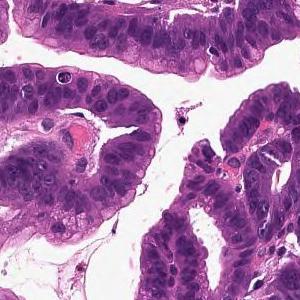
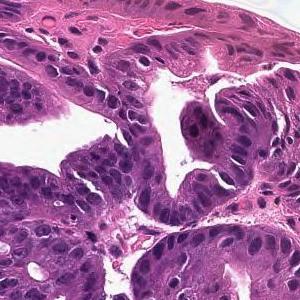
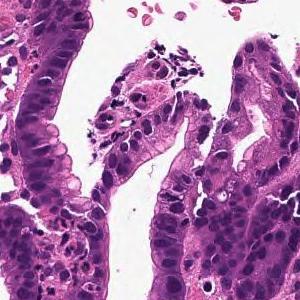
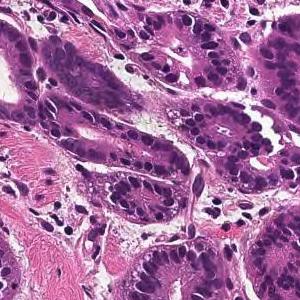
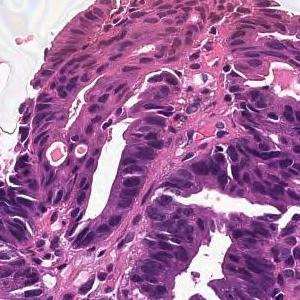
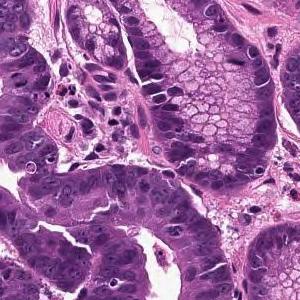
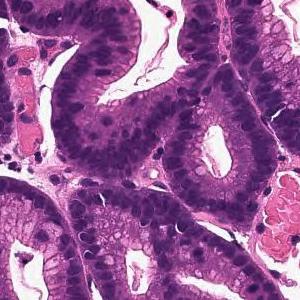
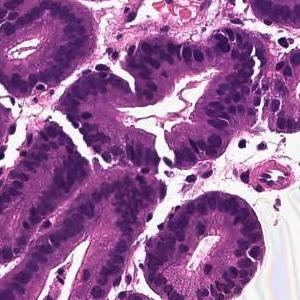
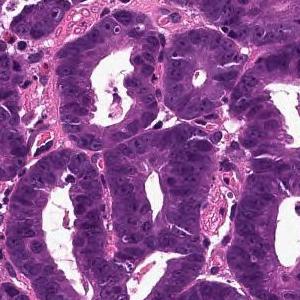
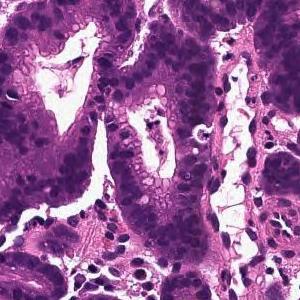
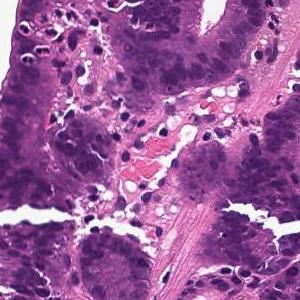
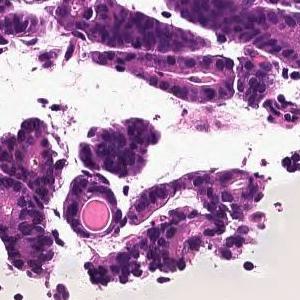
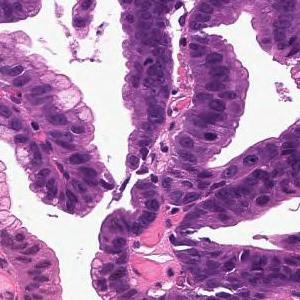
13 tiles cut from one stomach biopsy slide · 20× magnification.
The pathologist's report on the biopsy slide these tiles were taken from. The report describes the whole slide, diagnosis included: not every finding it names need appear in these tiles, which may also show non-tumor tissue.
From the superficial epithelium to the muscularis mucosae, tumor tissue consisting of medium-sized and irregular glandular ducts infiltrating is observed. Well differentiated tubular adenocarcinoma
